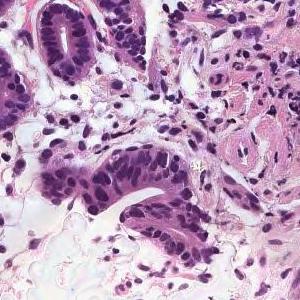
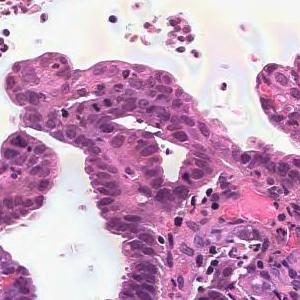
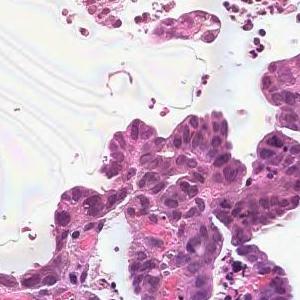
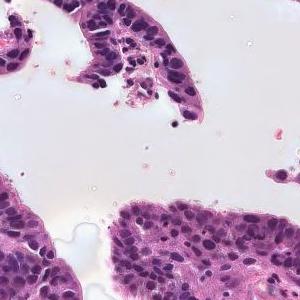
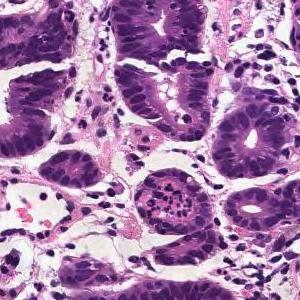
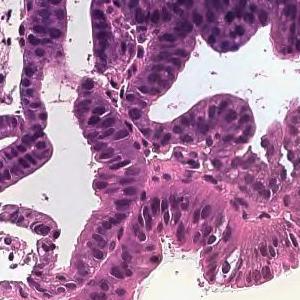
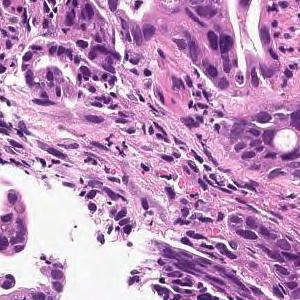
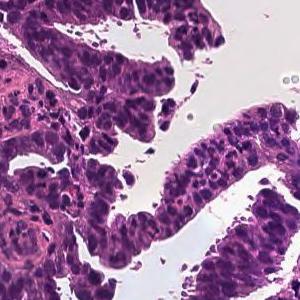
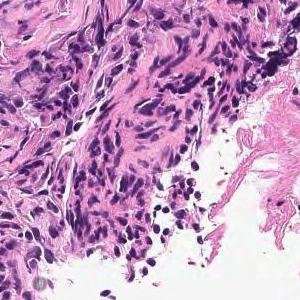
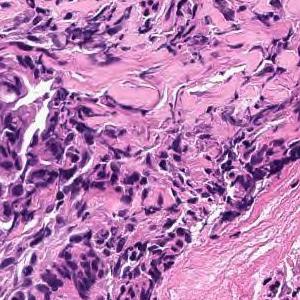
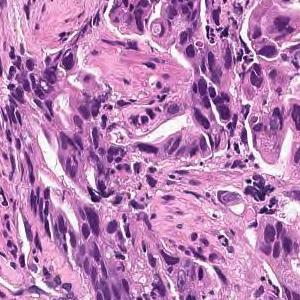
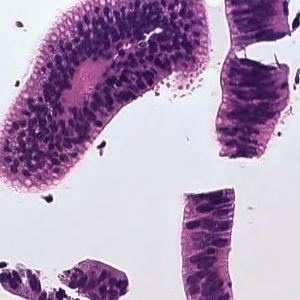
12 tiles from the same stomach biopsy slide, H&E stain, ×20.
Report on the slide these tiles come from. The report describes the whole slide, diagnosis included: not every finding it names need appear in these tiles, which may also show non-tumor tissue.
From the superficial epithelium to the muscularis mucosae, tumor tissue consisting of medium-sized and irregular glandular ducts infiltrating is observed. Well differentiated tubular adenocarcinoma
